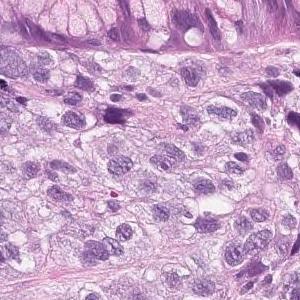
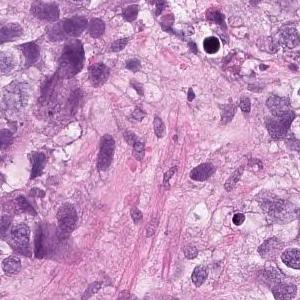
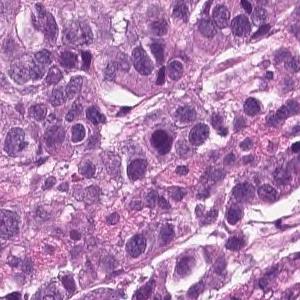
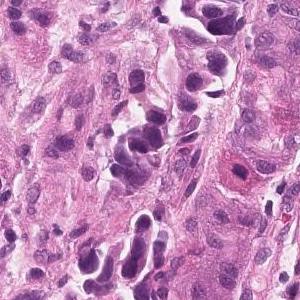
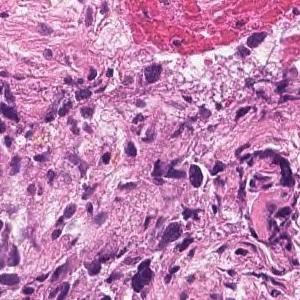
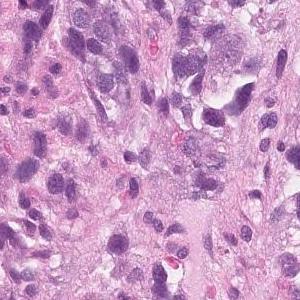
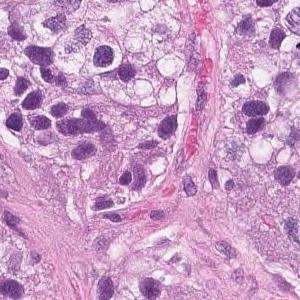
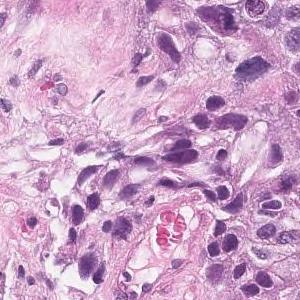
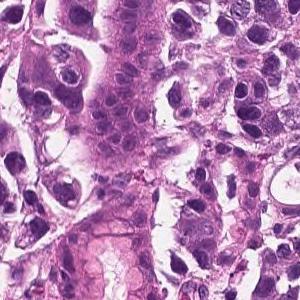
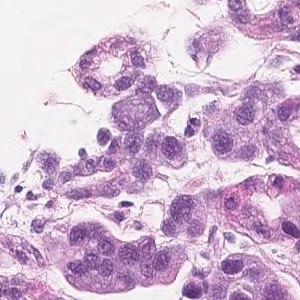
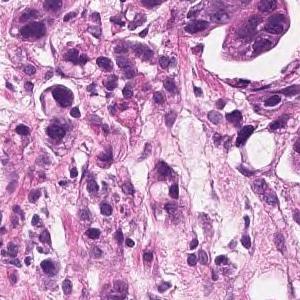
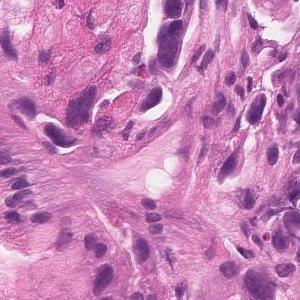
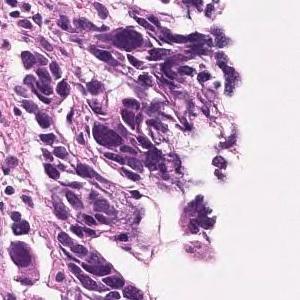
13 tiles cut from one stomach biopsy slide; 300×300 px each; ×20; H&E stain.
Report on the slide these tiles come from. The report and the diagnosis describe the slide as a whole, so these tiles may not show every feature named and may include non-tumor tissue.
Tumor tissue that infiltrates the epithelium in an alveolar manner. Poorly differentiated adenocarcinoma, solid-type
Tumor subtype: poorly differentiated adenocarcinoma, solid type. This name comes from the Japanese Classification of Gastric Carcinoma; the WHO 2019 classification calls it tubular adenocarcinoma, poorly differentiated.
